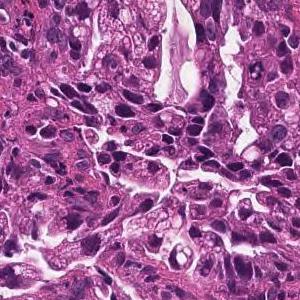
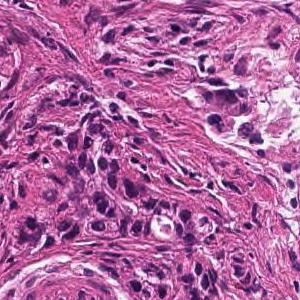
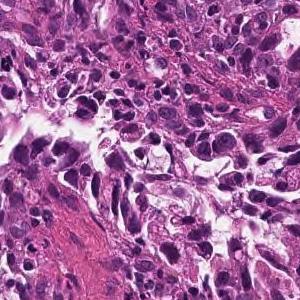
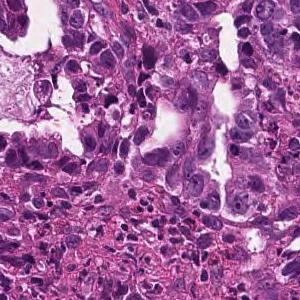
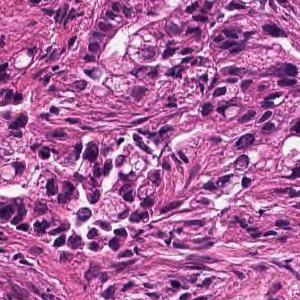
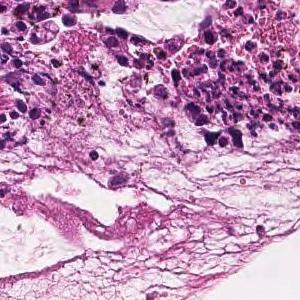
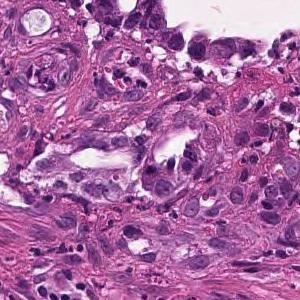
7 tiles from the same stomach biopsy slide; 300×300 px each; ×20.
Report on the slide these tiles come from. The report and the diagnosis cover the entire slide, so not every feature they name need be visible here, and some tissue shown may not be tumor.
In the superficial epithelium, tumor tissue that invades by forming medium-sized to small, irregular ducts is observed. moderately differentiated tubular adenocarcinoma.
